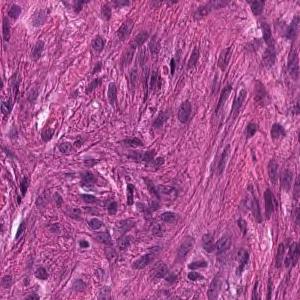
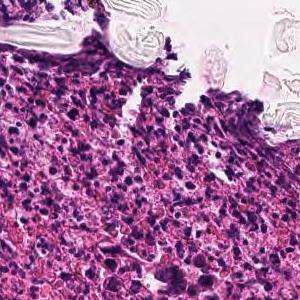
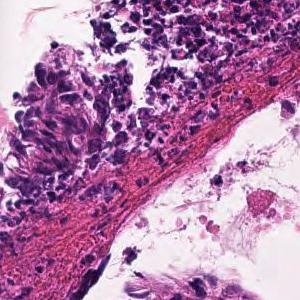
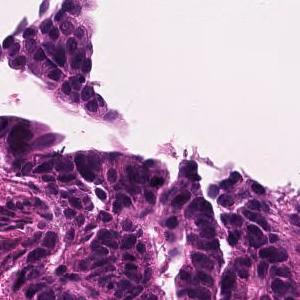
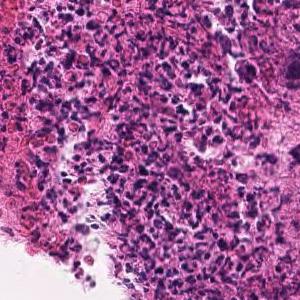
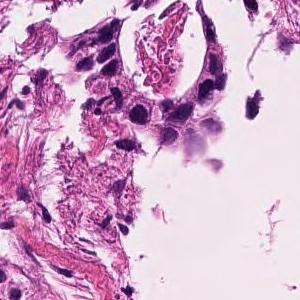
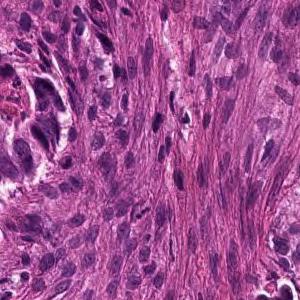
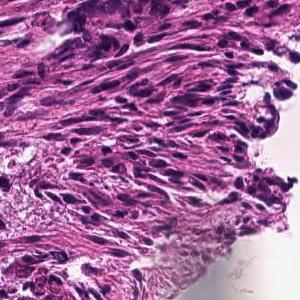
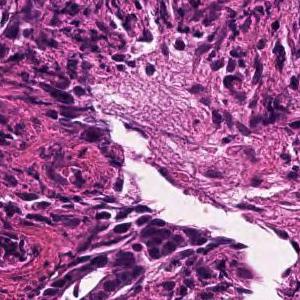
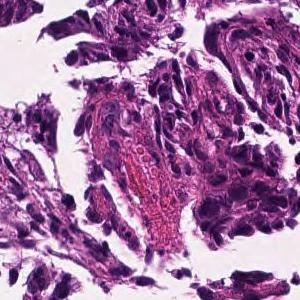
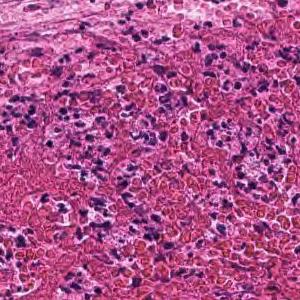
Scanned at ×20 · 11 tiles cut from one stomach biopsy slide · each 300 × 300 pixels.
Report on the slide these tiles come from. The report describes the whole slide, diagnosis included: not every finding it names need appear in these tiles, which may also show non-tumor tissue.
In the superficial epithelium, tumor tissue that invades by forming medium-sized to small, irregular ducts is observed. moderately differentiated tubular adenocarcinoma.
